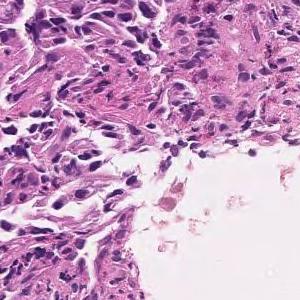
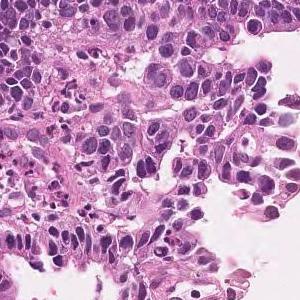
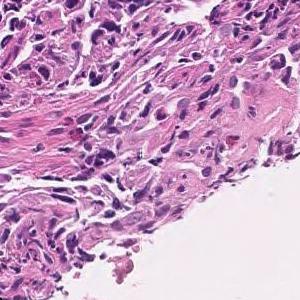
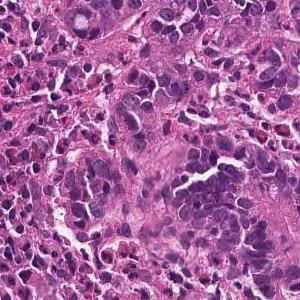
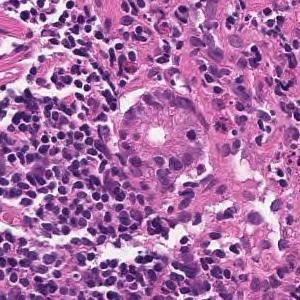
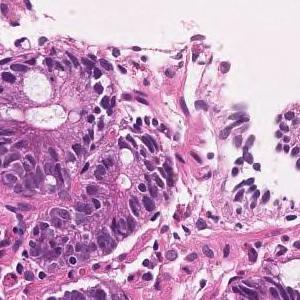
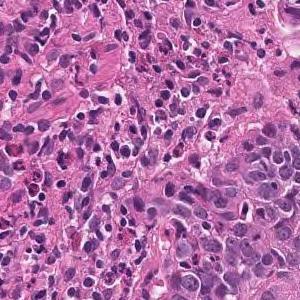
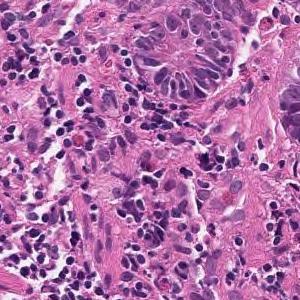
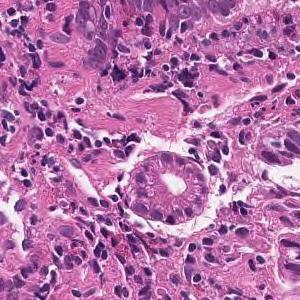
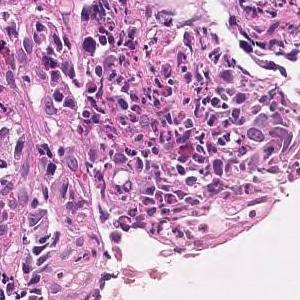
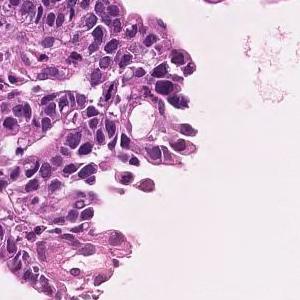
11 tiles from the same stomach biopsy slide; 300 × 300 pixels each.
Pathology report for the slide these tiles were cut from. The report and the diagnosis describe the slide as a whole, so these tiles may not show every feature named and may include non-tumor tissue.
Medium to small, irregular glandular ducts are formed in the superficial epithelium, and in some cases, the glandular ducts are fused to show solid alveolar lesions and infiltrating tumor tissue is observed. Moderately to poorly differentiated adenocarcinoma.
